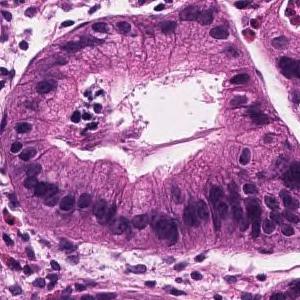
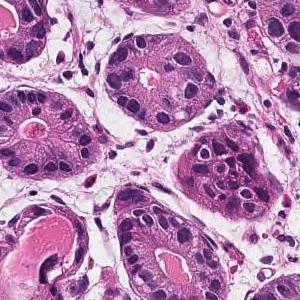
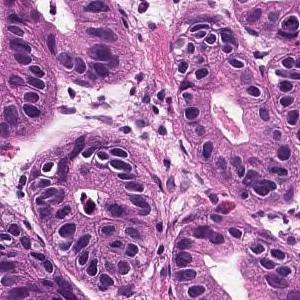
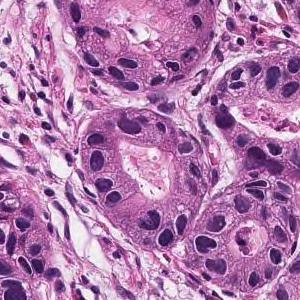
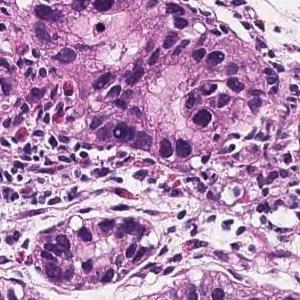
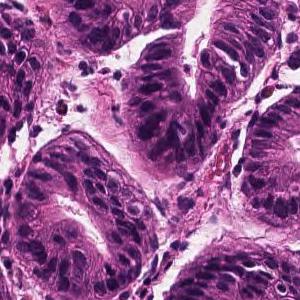
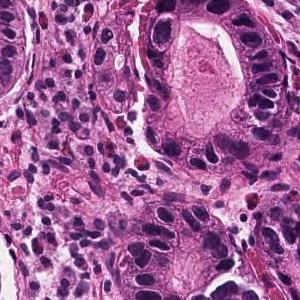
Hematoxylin and eosin stain, 7 tiles cut from one stomach biopsy slide.
Pathology report for the slide these tiles were cut from. The report and the diagnosis cover the entire slide, so not every feature they name need be visible here, and some tissue shown may not be tumor.
Tumor tissue in which medium to small irregular ducts infiltrate and proliferate in the submucosa can be seen in the epithelium. Well differentiated tubular adenocarcinoma
